×20, H&E, 4 tiles cut from one stomach biopsy slide.
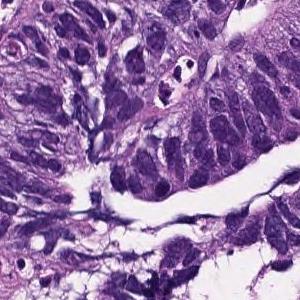
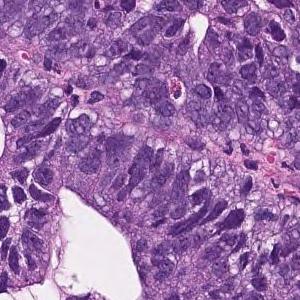
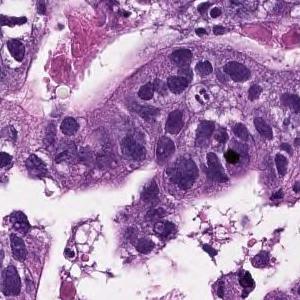
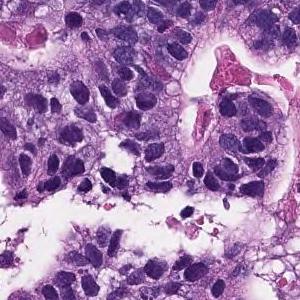
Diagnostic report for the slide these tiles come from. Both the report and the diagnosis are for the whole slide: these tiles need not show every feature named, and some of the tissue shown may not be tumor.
In the superficial epithelium, tumor tissue that invades by forming medium-sized to small, irregular ducts is observed. moderately differentiated tubular adenocarcinoma.
